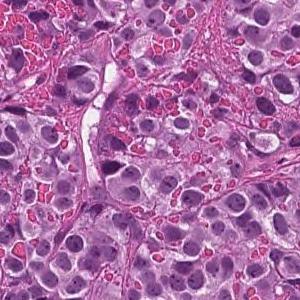
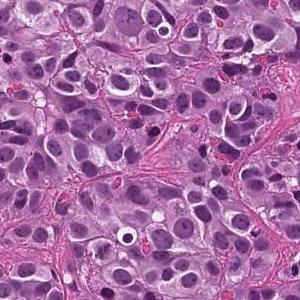
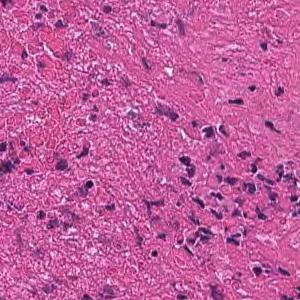
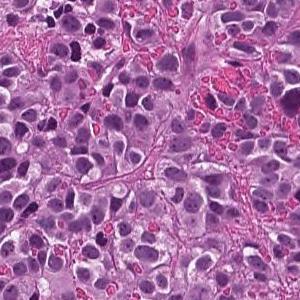
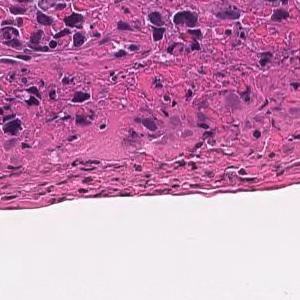
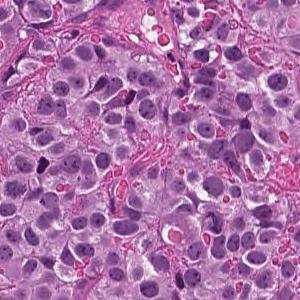
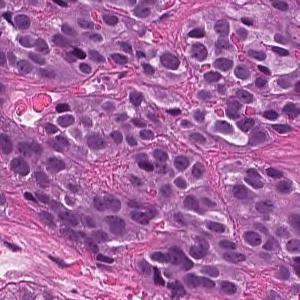
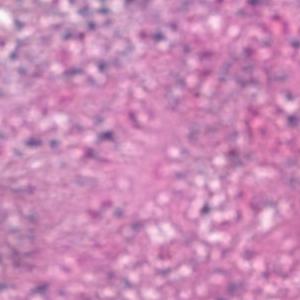
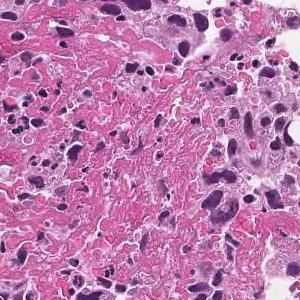
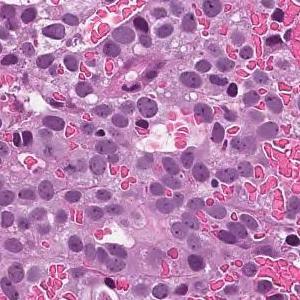
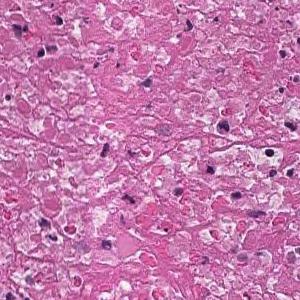
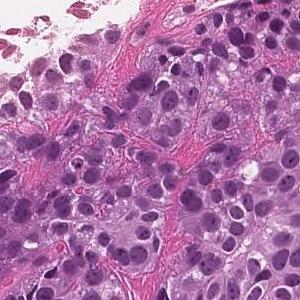
Scanned at ×20; H&E; 12 tiles from the same stomach biopsy slide.
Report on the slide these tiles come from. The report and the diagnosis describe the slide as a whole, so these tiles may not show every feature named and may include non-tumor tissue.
The superficial epithelium shows a large sheet-like shape, and some tumor tissue infiltrates with small irregular ducts. Poorly differentiated adenocarcinoma, solid-type
Histologic type: Poorly differentiated adenocarcinoma, solid type (Japanese Classification of Gastric Carcinoma). The WHO 2019 equivalent is tubular adenocarcinoma, poorly differentiated.
